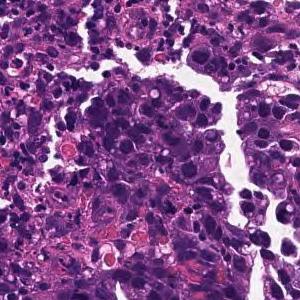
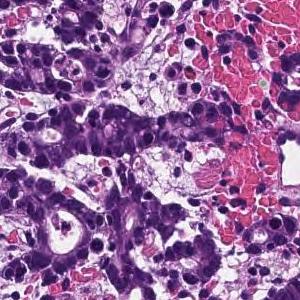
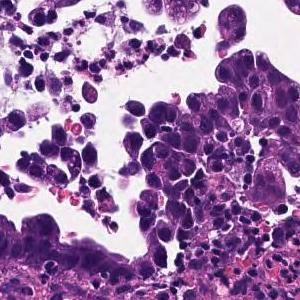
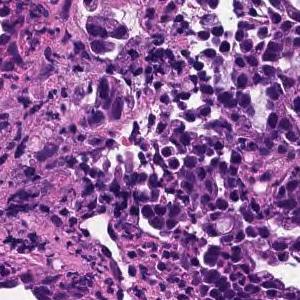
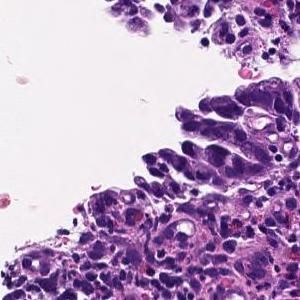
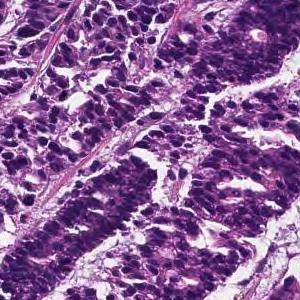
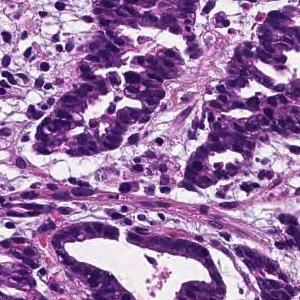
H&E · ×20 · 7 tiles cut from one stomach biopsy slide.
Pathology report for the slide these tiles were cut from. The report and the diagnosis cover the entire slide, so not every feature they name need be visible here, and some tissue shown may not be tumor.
In the superficial epithelium, tumor tissue that invades by forming medium-sized to small, irregular ducts is observed. moderately differentiated tubular adenocarcinoma.
